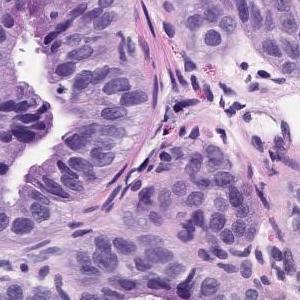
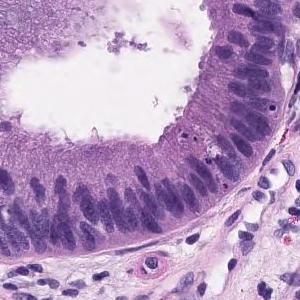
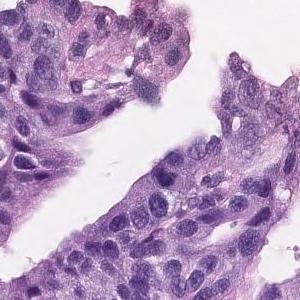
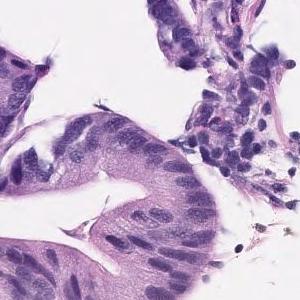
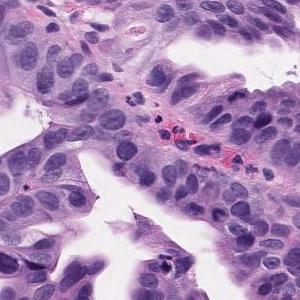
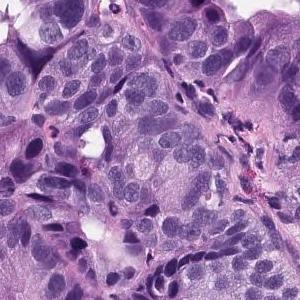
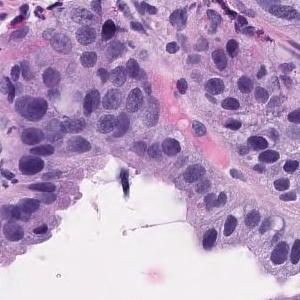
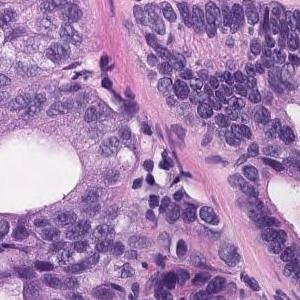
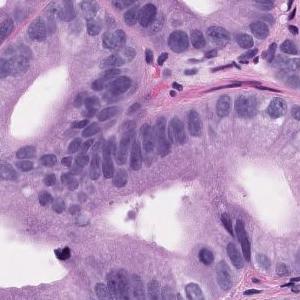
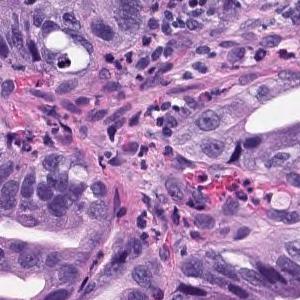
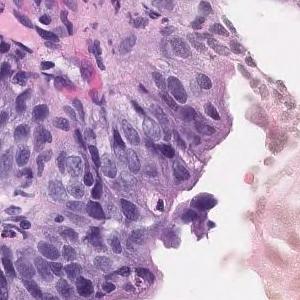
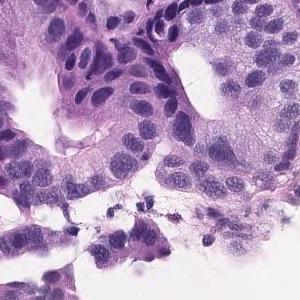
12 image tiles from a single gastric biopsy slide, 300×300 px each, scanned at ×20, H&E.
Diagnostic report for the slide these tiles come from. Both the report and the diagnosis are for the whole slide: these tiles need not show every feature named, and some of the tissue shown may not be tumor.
Tumor tissue consisting of medium-sized and irregular ducts is observed infiltrating in the superficial epithelium. Tumor cells are highly columnar, with nuclei aligned basolaterally and polarized. Well differentiated tubular adenocarcinoma.
